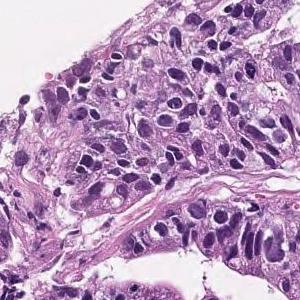
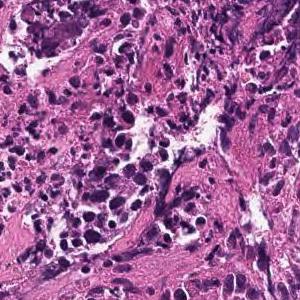
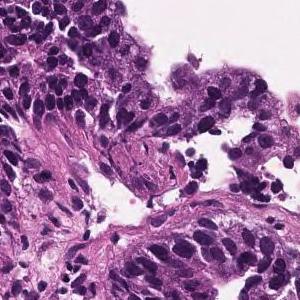
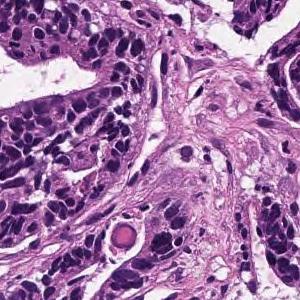
4 patches cut from one gastric biopsy slide; each 300 × 300 pixels; scanned at ×20; hematoxylin and eosin stain.
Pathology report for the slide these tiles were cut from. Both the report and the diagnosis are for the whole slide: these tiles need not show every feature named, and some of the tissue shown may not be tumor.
In the superficial epithelium, tumor tissue that invades by forming medium-sized to small, irregular ducts is observed. Well differentiated tubular adenocarcinoma.
